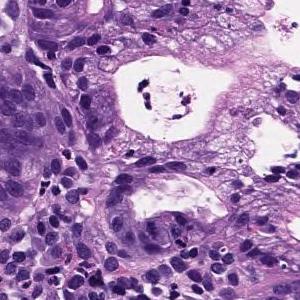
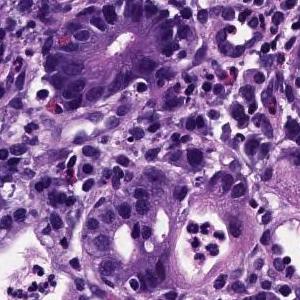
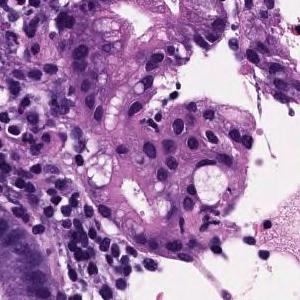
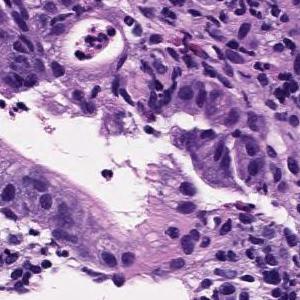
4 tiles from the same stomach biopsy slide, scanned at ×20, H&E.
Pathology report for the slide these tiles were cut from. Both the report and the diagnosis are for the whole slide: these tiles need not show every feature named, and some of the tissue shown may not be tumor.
Medium to small, irregular glandular ducts are formed in the superficial epithelium, and in some cases, the glandular ducts are fused to show solid alveolar lesions and infiltrating tumor tissue is observed. Moderately to poorly differentiated adenocarcinoma.
